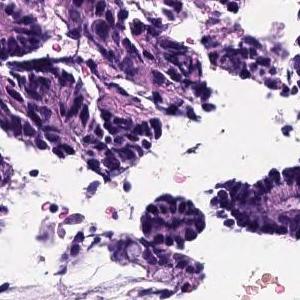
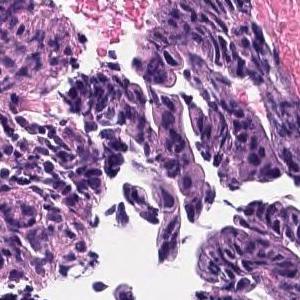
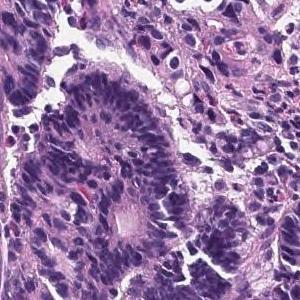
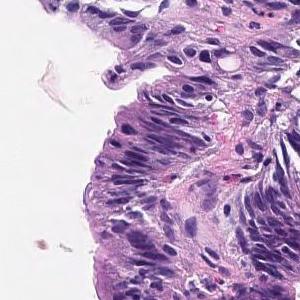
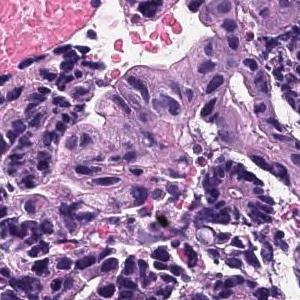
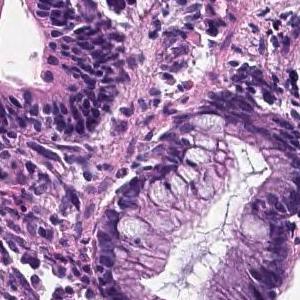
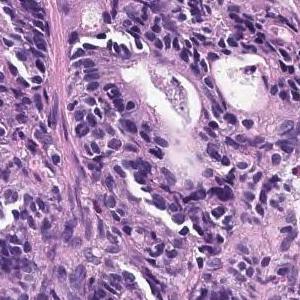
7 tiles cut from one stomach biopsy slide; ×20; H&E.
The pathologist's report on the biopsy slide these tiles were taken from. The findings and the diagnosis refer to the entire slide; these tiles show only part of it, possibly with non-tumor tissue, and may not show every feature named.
In the superficial epithelium, tumor tissue that invades by forming medium-sized to small, irregular ducts is observed. Moderately differentiated adenocarcinoma.
Histologic type: Moderately differentiated tubular adenocarcinoma.
